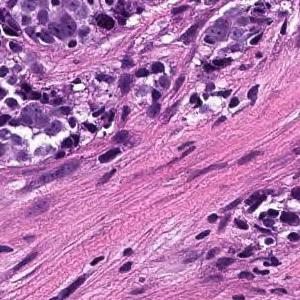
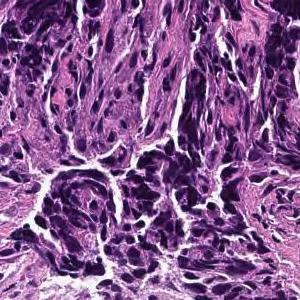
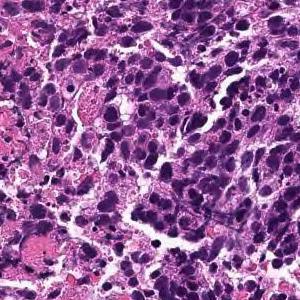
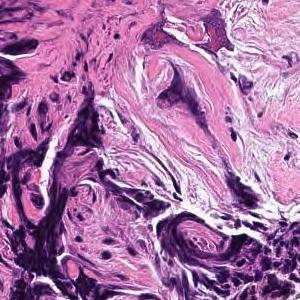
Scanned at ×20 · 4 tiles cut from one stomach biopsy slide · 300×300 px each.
The pathologist's report on the biopsy slide these tiles were taken from. The report and the diagnosis describe the slide as a whole, so these tiles may not show every feature named and may include non-tumor tissue.
The superficial epithelium shows a large sheet or alveolar shape, and tumor tissue infiltrating without irregular ducts is observed. Poorly differentiated adenocarcinoma, solid-type
Subtype: Poorly differentiated adenocarcinoma, solid type. This name comes from the Japanese Classification of Gastric Carcinoma; the WHO 2019 classification calls it tubular adenocarcinoma, poorly differentiated.
